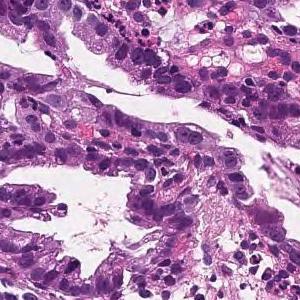
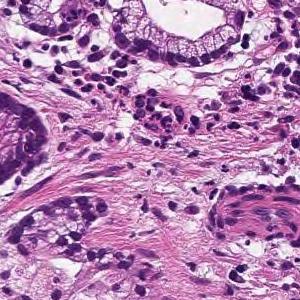
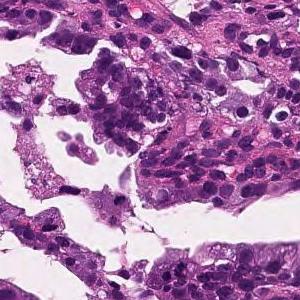
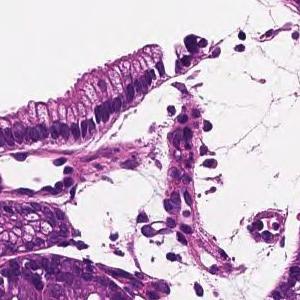
4 tiles from the same stomach biopsy slide, each 300 × 300 pixels.
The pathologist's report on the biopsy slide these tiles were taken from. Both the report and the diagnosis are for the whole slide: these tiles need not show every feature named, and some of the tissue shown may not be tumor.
On the superficial epithelium, tumor tissue that infiltrates by forming medium-sized papillary or small irregular ducts is observed. Papillary adenocarcinoma
